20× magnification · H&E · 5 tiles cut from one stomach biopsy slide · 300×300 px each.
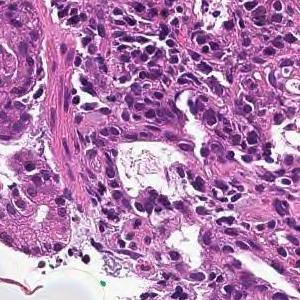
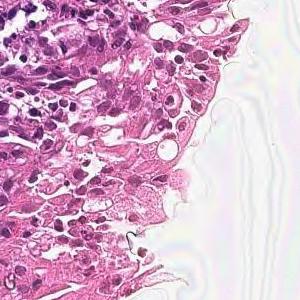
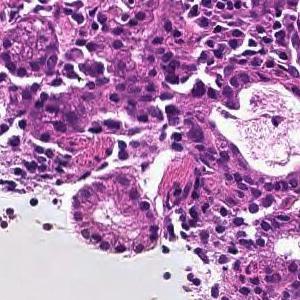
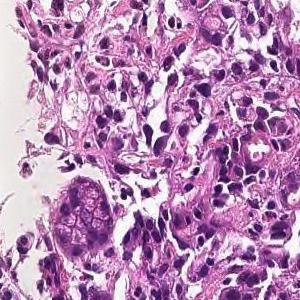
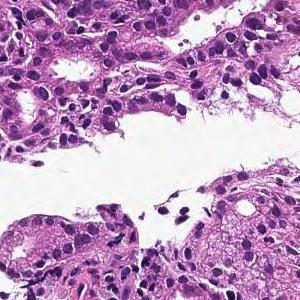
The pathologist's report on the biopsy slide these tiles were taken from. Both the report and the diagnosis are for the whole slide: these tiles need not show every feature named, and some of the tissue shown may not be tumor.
In the superficial epithelium, tumor tissue that invades by forming medium-sized to small, irregular ducts is observed. moderately differentiated tubular adenocarcinoma.
